7 tiles cut from one stomach biopsy slide · 300×300 px each · ×20.
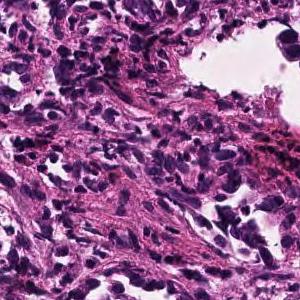
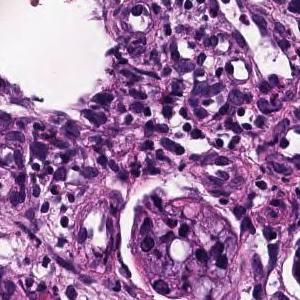
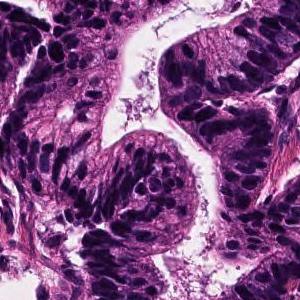
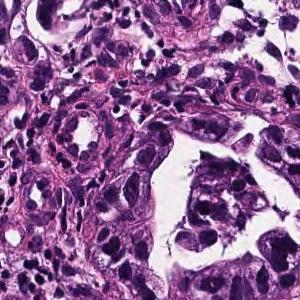
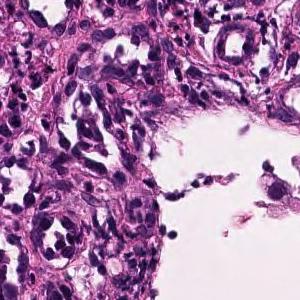
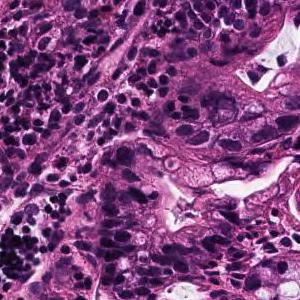
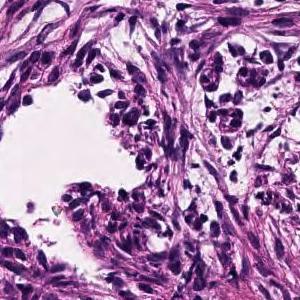
Diagnostic report for the slide these tiles come from. The report and the diagnosis describe the slide as a whole, so these tiles may not show every feature named and may include non-tumor tissue.
On the superficial epithelium, tumor tissue consisting of large, irregular glandular ducts partially fused and infiltrated is observed. Well to moderately differentiated tubular adenocarcinoma (well differentiated tubular adenocarcinoma, moderately differentiated tubular adenocarcinoma)
Classified as well to moderately differentiated tubular adenocarcinoma.
